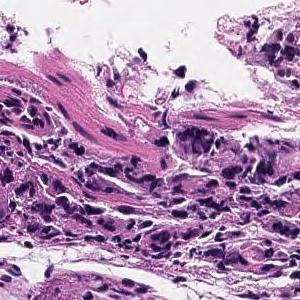
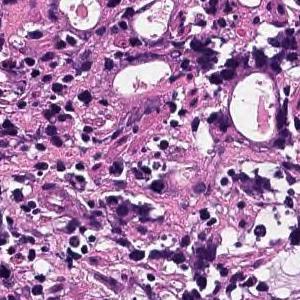
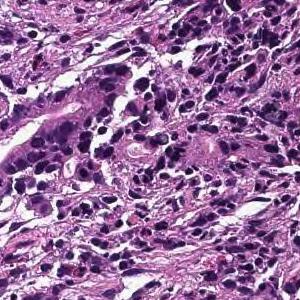
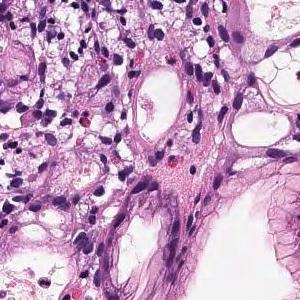
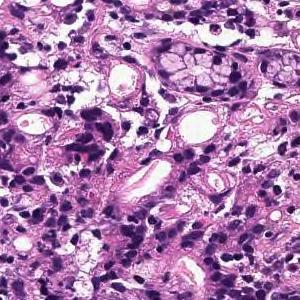
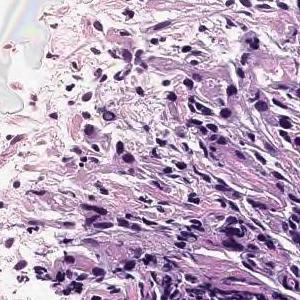
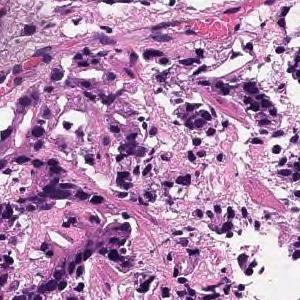
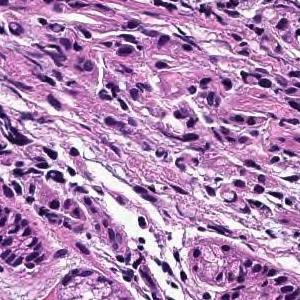
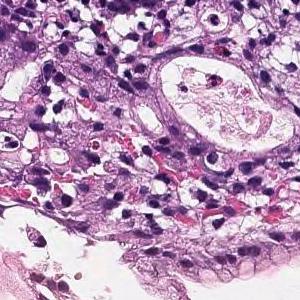
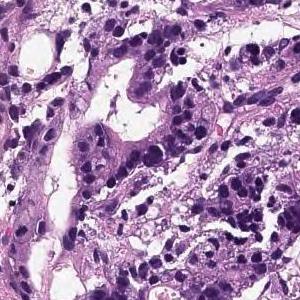
×20, H&E stain, 10 tiles from the same stomach biopsy slide.
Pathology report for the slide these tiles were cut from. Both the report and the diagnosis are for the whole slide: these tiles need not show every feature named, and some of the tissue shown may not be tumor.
Tumor tissue consisting of cord-like or small, irregular glandular ducts fused and infiltrated is observed in the superficial epithelium. Poorly differentiated adenocarcinoma, non-solid type
The non-solid type named here is a Japanese Classification of Gastric Carcinoma category.
